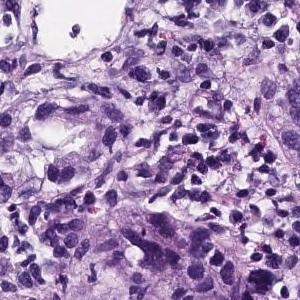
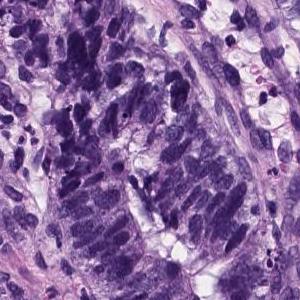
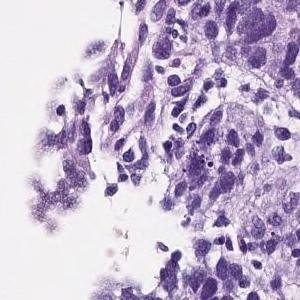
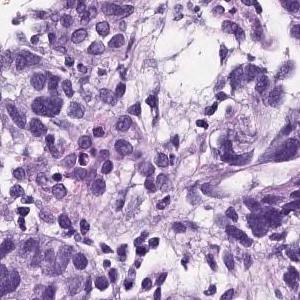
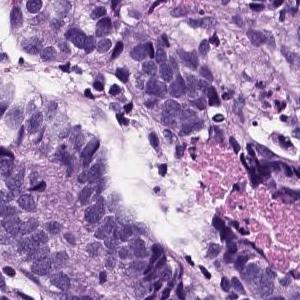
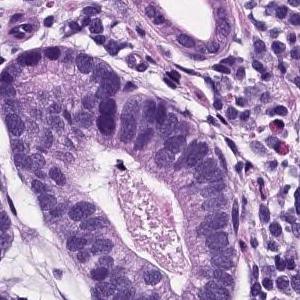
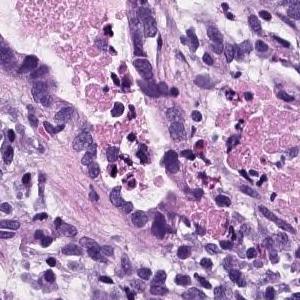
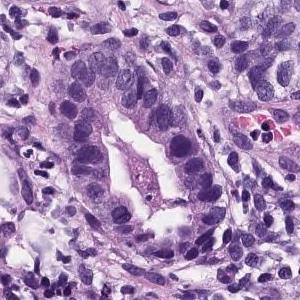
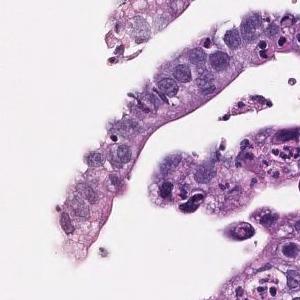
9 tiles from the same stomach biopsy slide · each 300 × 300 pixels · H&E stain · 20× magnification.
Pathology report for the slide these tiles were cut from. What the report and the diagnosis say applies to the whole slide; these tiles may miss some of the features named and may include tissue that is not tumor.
On the superficial epithelium, tumor tissue consisting of large, irregular glandular ducts partially fused and infiltrated is observed. Well to moderately differentiated tubular adenocarcinoma (well differentiated tubular adenocarcinoma, moderately differentiated tubular adenocarcinoma)
The dataset labels this slide well differentiated tubular adenocarcinoma.
